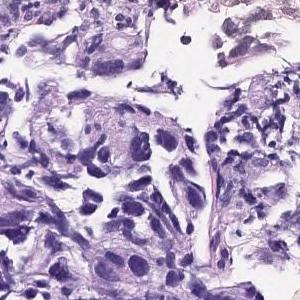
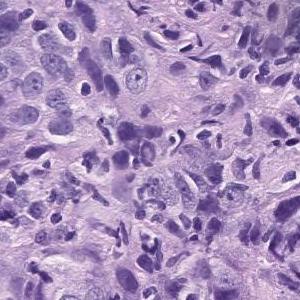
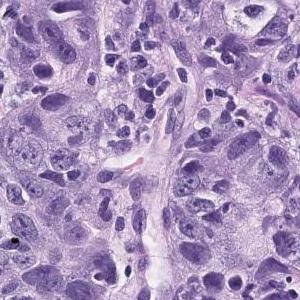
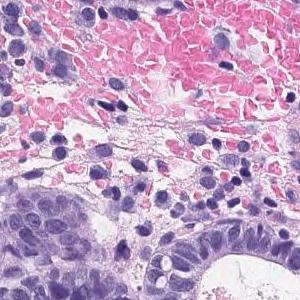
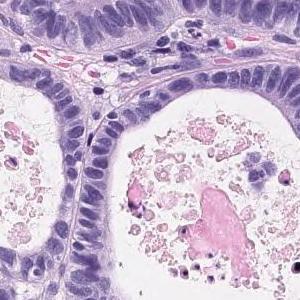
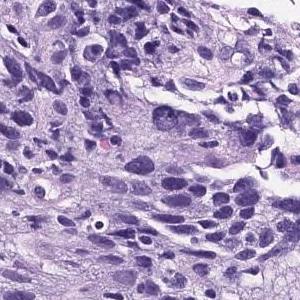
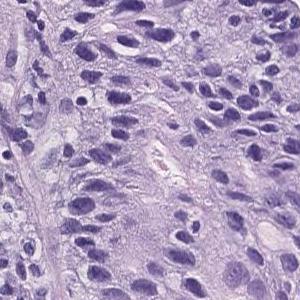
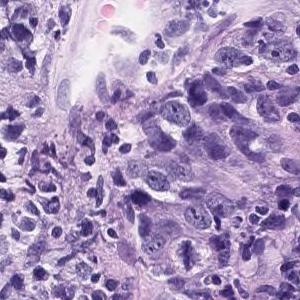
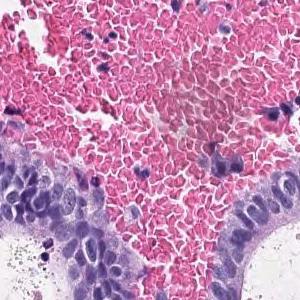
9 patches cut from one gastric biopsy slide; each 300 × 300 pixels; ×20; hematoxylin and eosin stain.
Pathology report for the slide these tiles were cut from. What the report and the diagnosis say applies to the whole slide; these tiles may miss some of the features named and may include tissue that is not tumor.
The superficial epithelium shows a large sheet-like shape, and some tumor tissue infiltrates with small irregular ducts. Poorly differentiated adenocarcinoma, solid-type
Subtype: Poorly differentiated adenocarcinoma, solid type (Japanese Classification of Gastric Carcinoma). The WHO 2019 equivalent is tubular adenocarcinoma, poorly differentiated.
